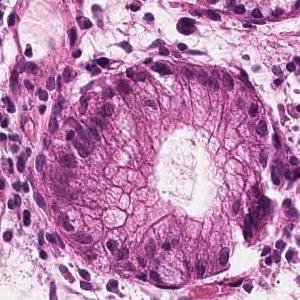
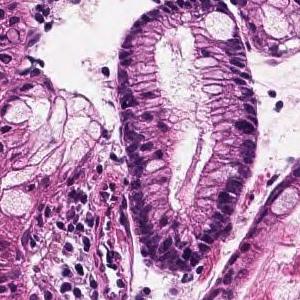
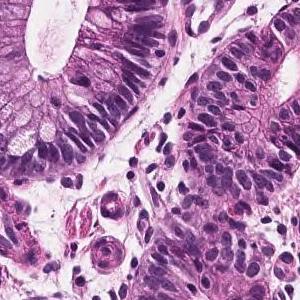
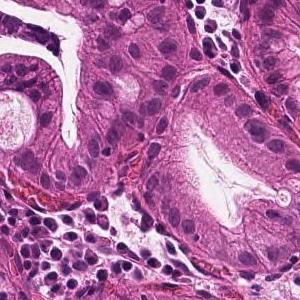
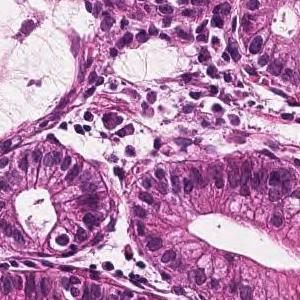
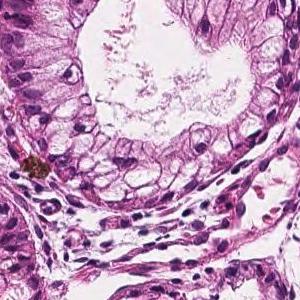
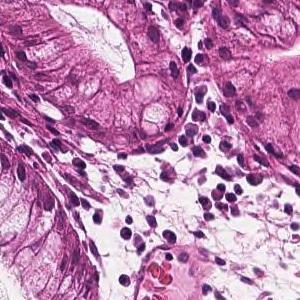
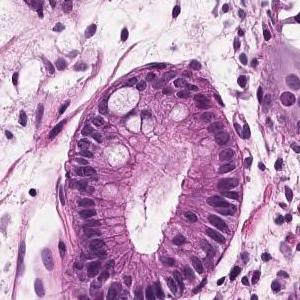
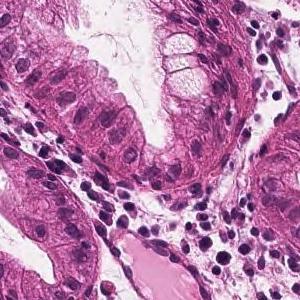
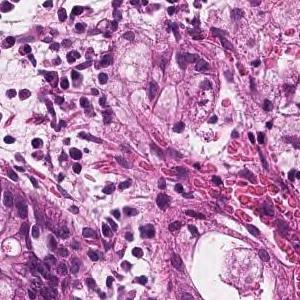
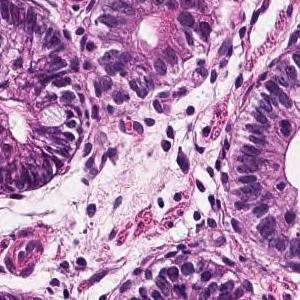
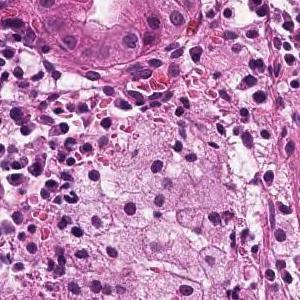
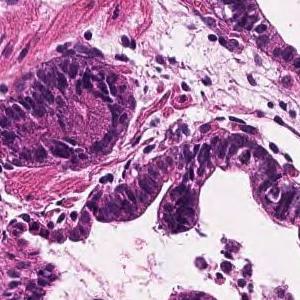
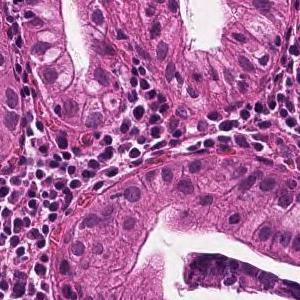
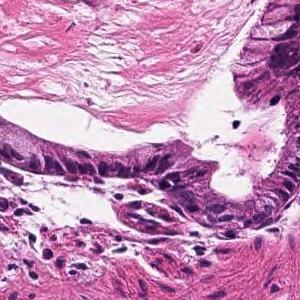
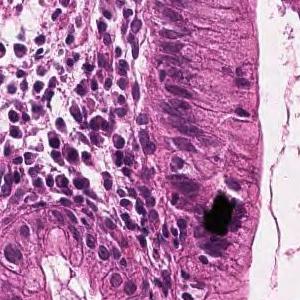
16 tiles from the same stomach biopsy slide · 300×300 px each · 20× magnification · hematoxylin and eosin stain.
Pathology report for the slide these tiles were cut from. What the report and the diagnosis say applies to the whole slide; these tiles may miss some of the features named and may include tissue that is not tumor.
In the superficial epithelium, tumor tissue that invades by forming medium-sized to small, irregular ducts is observed. Well differentiated tubular adenocarcinoma.
